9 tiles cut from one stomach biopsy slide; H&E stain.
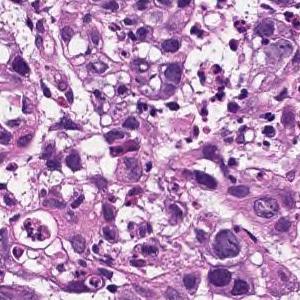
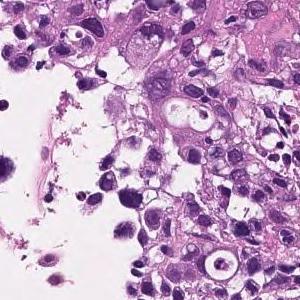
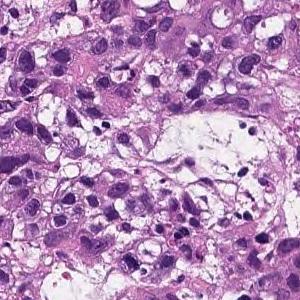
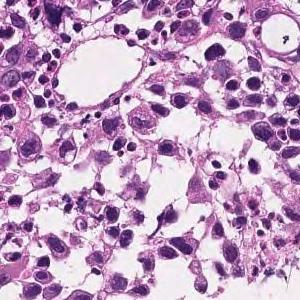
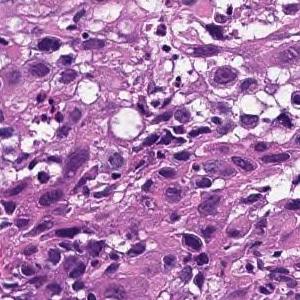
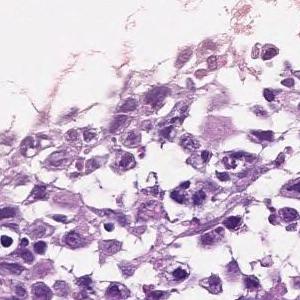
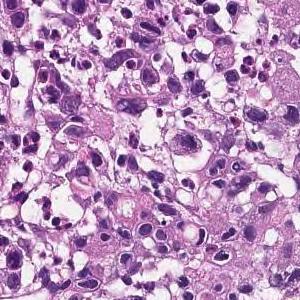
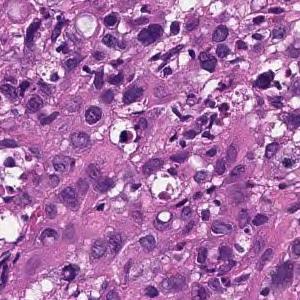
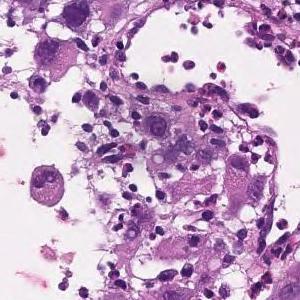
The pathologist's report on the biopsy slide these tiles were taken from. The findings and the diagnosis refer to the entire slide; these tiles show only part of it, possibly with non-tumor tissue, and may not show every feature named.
The superficial epithelium shows a large sheet-like shape, and some tumor tissue infiltrates with small irregular ducts. Poorly differentiated adenocarcinoma, solid-type
Histologic type: Poorly differentiated adenocarcinoma, solid type (Japanese Classification of Gastric Carcinoma). The WHO 2019 equivalent is tubular adenocarcinoma, poorly differentiated.
